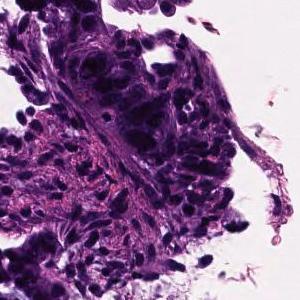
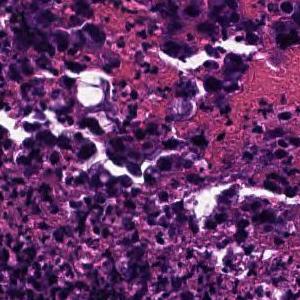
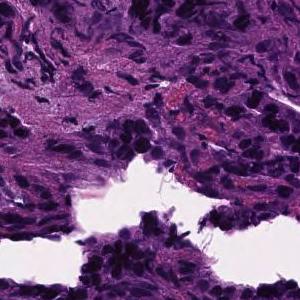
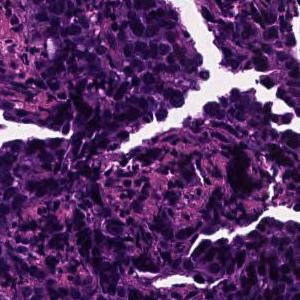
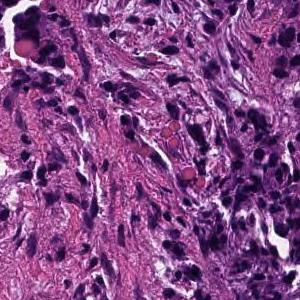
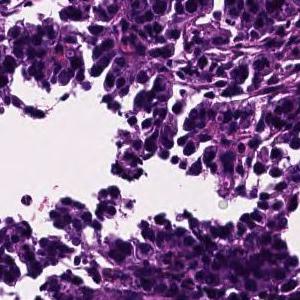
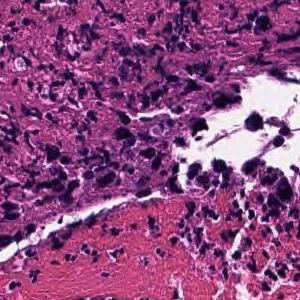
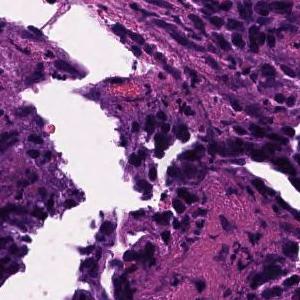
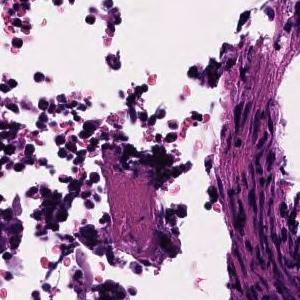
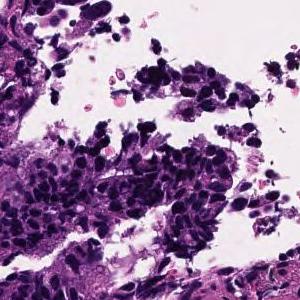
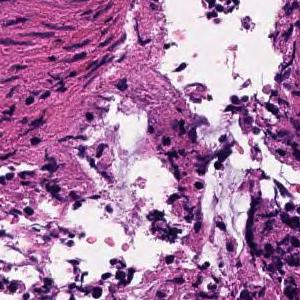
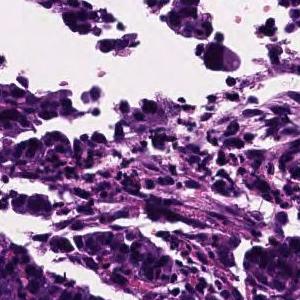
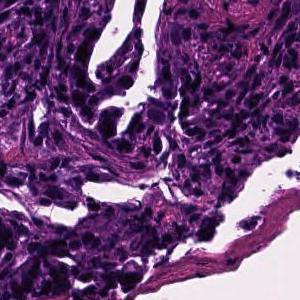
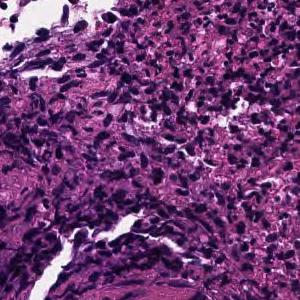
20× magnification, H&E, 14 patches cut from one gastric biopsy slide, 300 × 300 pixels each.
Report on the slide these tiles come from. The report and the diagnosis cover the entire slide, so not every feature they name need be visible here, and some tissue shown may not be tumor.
In the superficial epithelium, tumor tissue that invades by forming medium-sized to small, irregular ducts is observed. moderately differentiated tubular adenocarcinoma.
